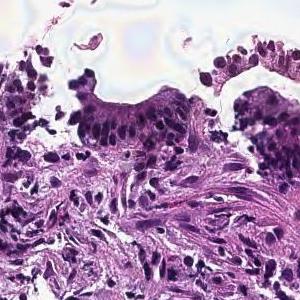
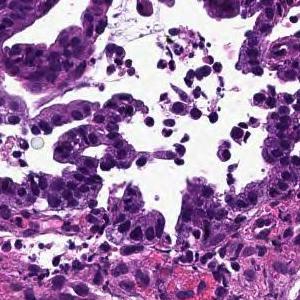
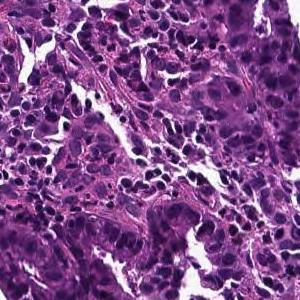
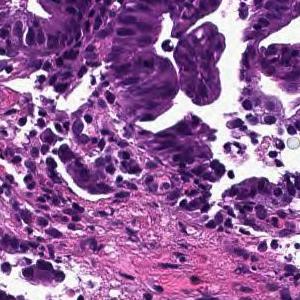
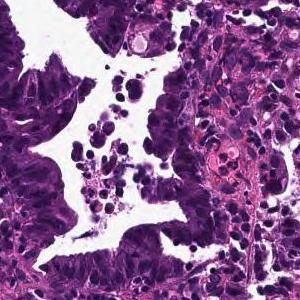
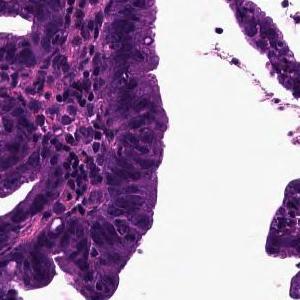
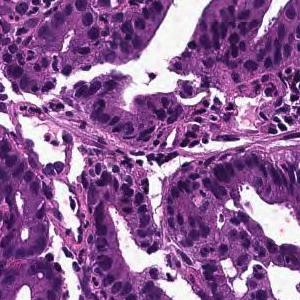
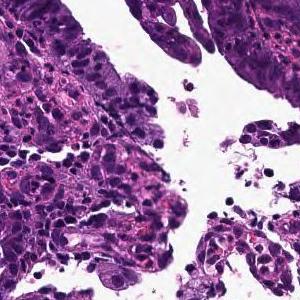
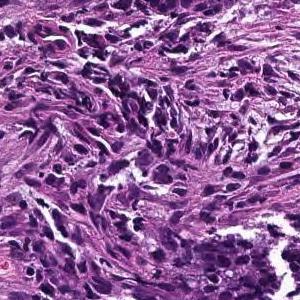
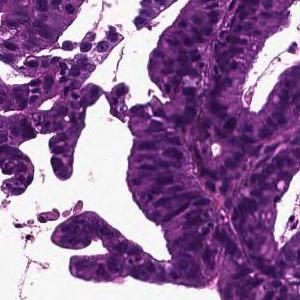
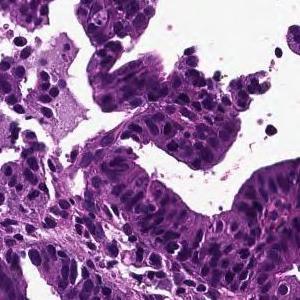
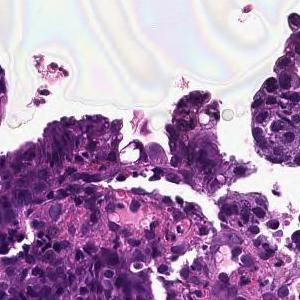
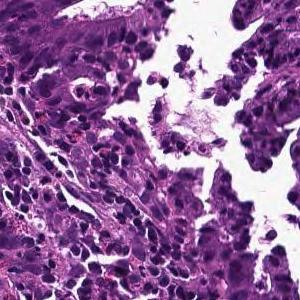
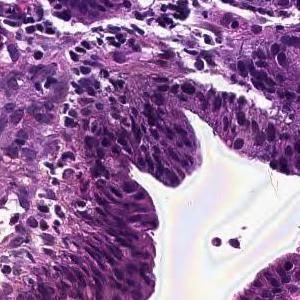
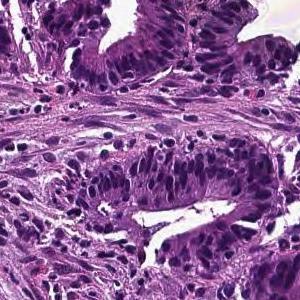
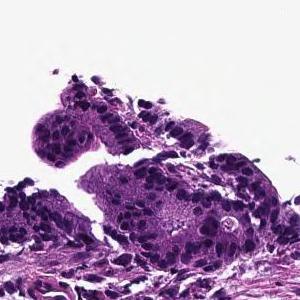
16 tiles from the same stomach biopsy slide, each 300 × 300 pixels, ×20, hematoxylin and eosin stain.
The pathologist's report on the biopsy slide these tiles were taken from. Both the report and the diagnosis are for the whole slide: these tiles need not show every feature named, and some of the tissue shown may not be tumor.
Tumor cells are large, highly columnar, large club-shaped nuclei, and are associated with chromatin aggregation. Papillary adenocarcinoma.
